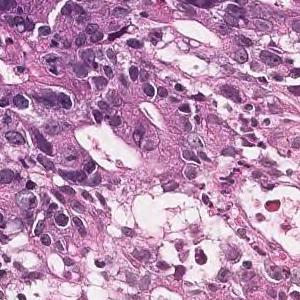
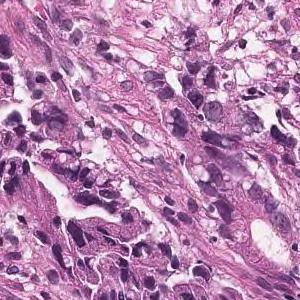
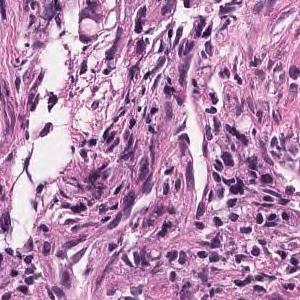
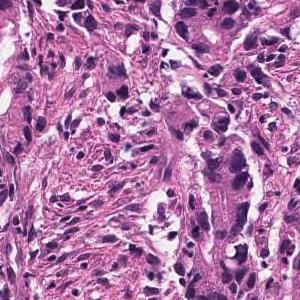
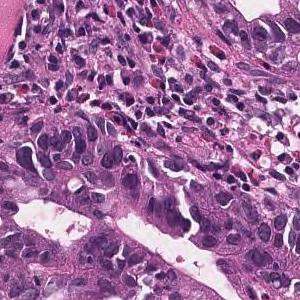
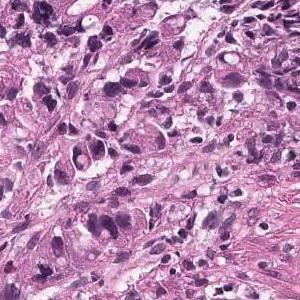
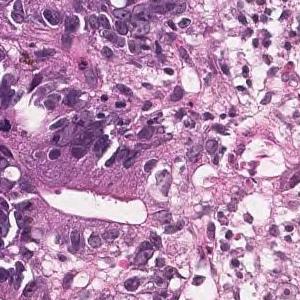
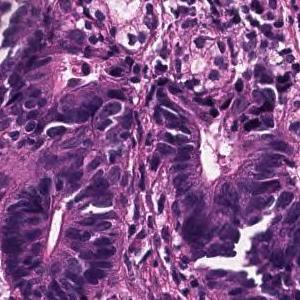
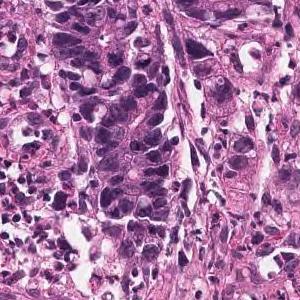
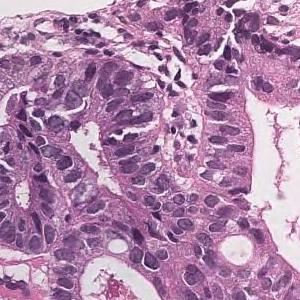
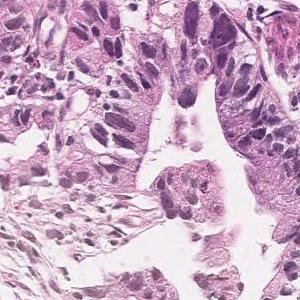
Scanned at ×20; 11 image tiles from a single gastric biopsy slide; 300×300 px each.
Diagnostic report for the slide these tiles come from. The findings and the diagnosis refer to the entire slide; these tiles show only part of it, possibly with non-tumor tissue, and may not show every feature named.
In the superficial epithelium, tumor tissue is found in which medium-sized irregular gland ducts fuse with each other and infiltrate. moderately differentiated tubular adenocarcinoma
